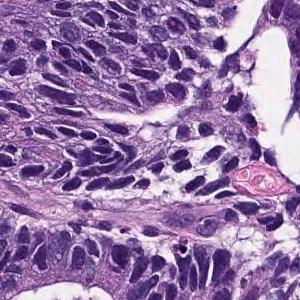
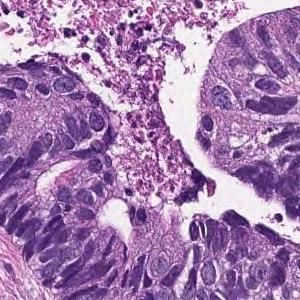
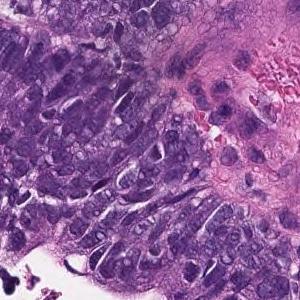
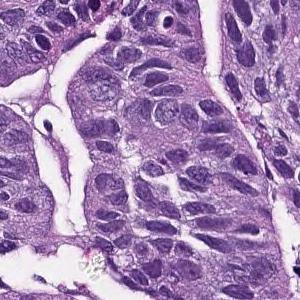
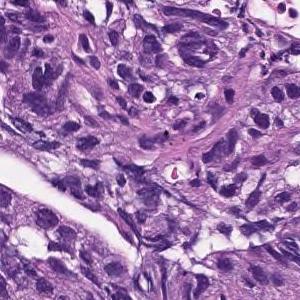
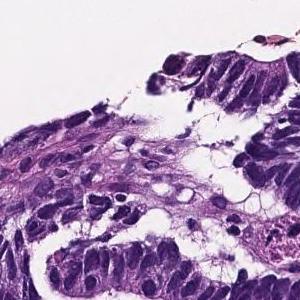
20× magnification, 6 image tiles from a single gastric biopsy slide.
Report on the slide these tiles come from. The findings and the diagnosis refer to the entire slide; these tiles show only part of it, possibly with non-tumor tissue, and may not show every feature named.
In the superficial epithelium, tumor tissue that invades by forming medium-sized to small, irregular ducts is observed. moderately differentiated tubular adenocarcinoma.
